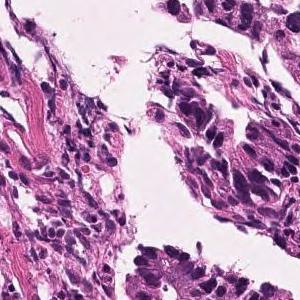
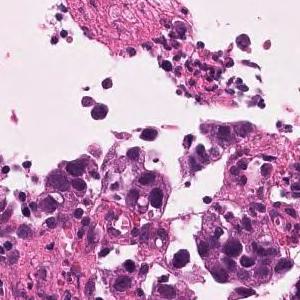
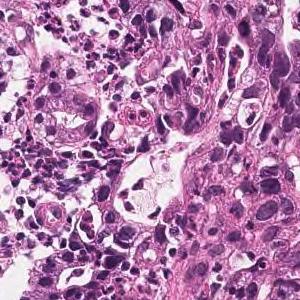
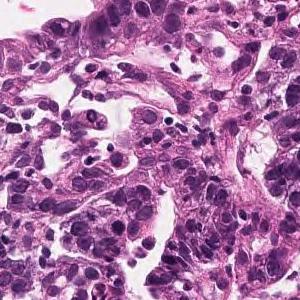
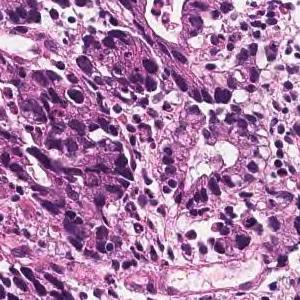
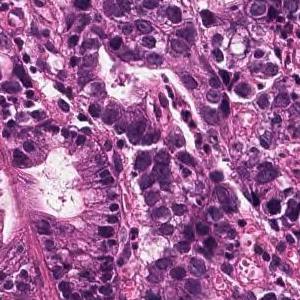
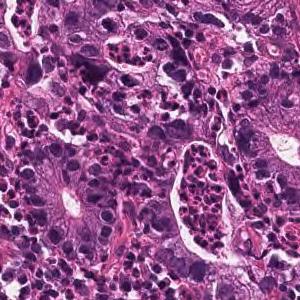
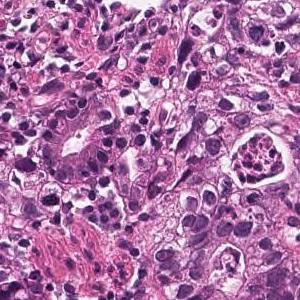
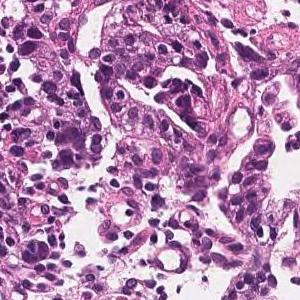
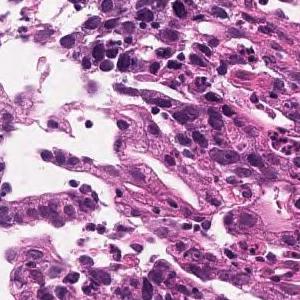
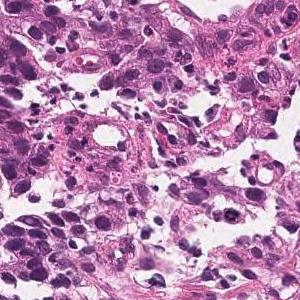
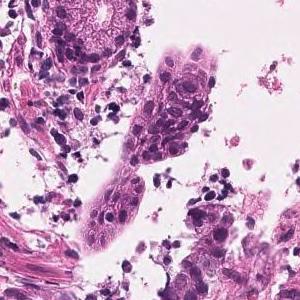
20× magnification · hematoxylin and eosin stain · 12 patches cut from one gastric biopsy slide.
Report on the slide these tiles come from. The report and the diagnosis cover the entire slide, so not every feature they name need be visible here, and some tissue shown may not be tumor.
In the superficial epithelium, tumor tissue that invades by forming medium-sized to small, irregular ducts is observed. Moderately differentiated adenocarcinoma.
Classified as moderately differentiated tubular adenocarcinoma.
